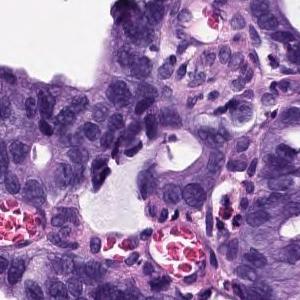
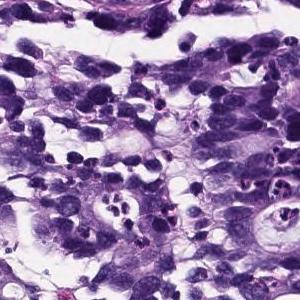
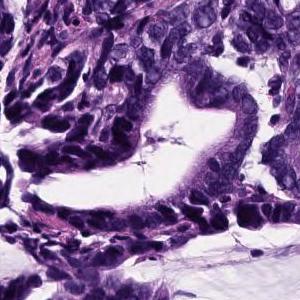
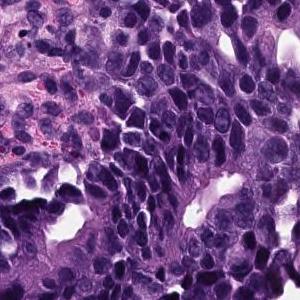
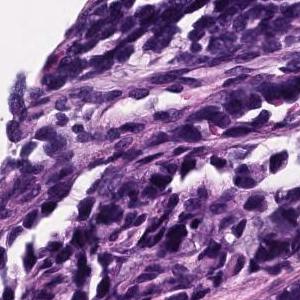
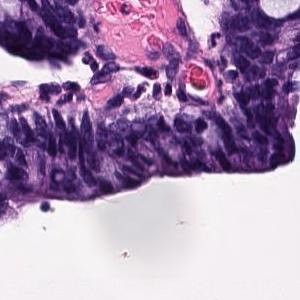
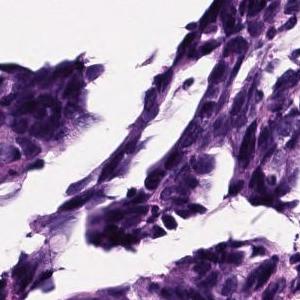
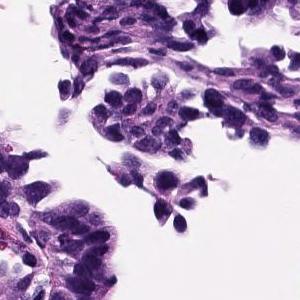
20× magnification, hematoxylin and eosin stain, 8 tiles cut from one stomach biopsy slide, 300 × 300 pixels each.
Diagnostic report for the slide these tiles come from. The report and the diagnosis cover the entire slide, so not every feature they name need be visible here, and some tissue shown may not be tumor.
Atypical epithelium proliferating showing villus construction and irregular gland duct construction is observed. Moderately differentiated tubular adenocarcinoma.
